Hematoxylin and eosin stain; 7 tiles from the same stomach biopsy slide.
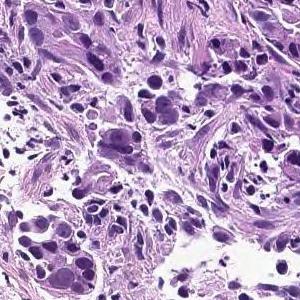
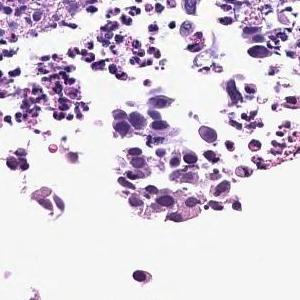
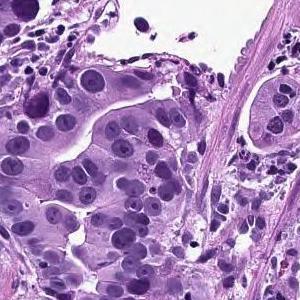
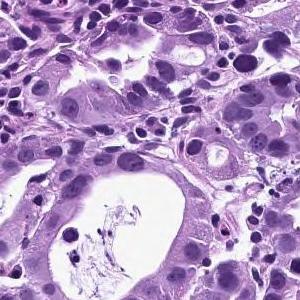
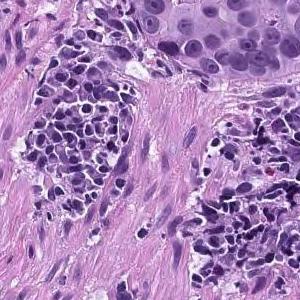
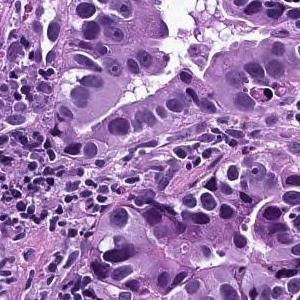
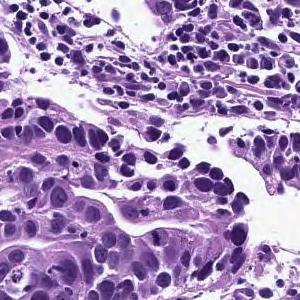
Report on the slide these tiles come from. The findings and the diagnosis refer to the entire slide; these tiles show only part of it, possibly with non-tumor tissue, and may not show every feature named.
In the superficial epithelium, tumor tissue that invades by forming medium-sized to small, irregular ducts is observed. moderately differentiated tubular adenocarcinoma.
